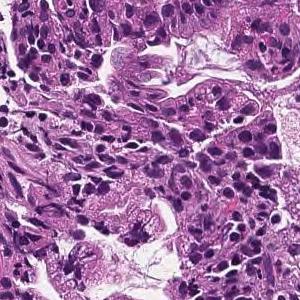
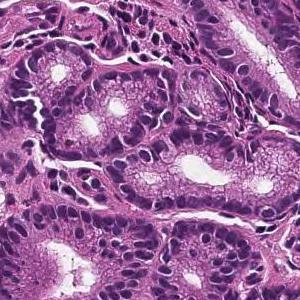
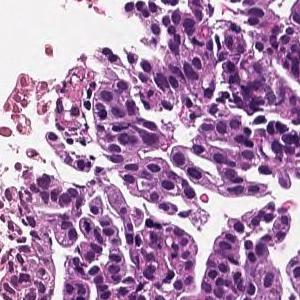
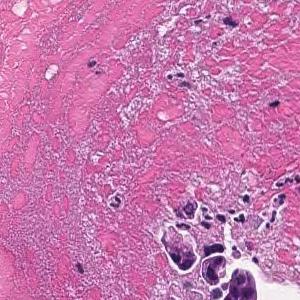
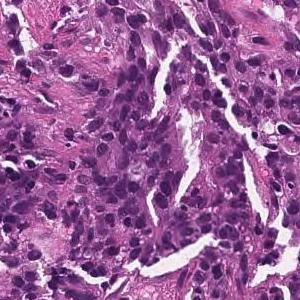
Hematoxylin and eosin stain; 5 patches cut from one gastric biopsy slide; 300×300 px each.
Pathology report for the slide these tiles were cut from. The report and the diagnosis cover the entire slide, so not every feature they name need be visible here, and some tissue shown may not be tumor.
On the superficial epithelium, tumor tissue that infiltrates by forming medium-sized papillary or small irregular ducts is observed. Papillary adenocarcinoma
